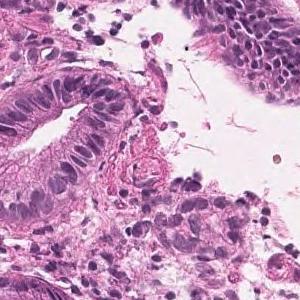
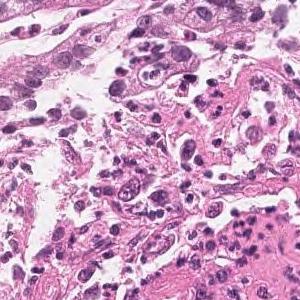
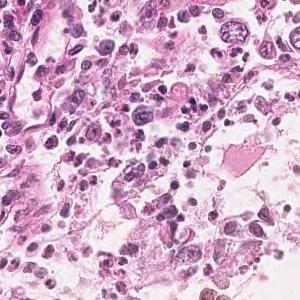
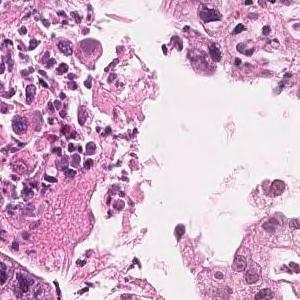
4 patches cut from one gastric biopsy slide; each 300 × 300 pixels; H&E stain; ×20.
Pathology report for the biopsy slide these tiles were cut from. What the report and the diagnosis say applies to the whole slide; these tiles may miss some of the features named and may include tissue that is not tumor.
In the superficial epithelium, medium to small irregular gland ducts are formed, and in some cases, the ducts are fused to show solid alveolar lesions and infiltrating tumor tissue is observed. Moderately to poorly differentiated adenocarcinoma
